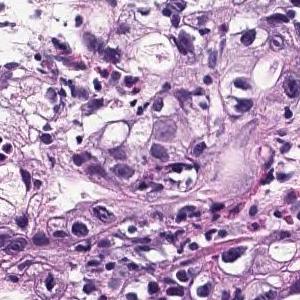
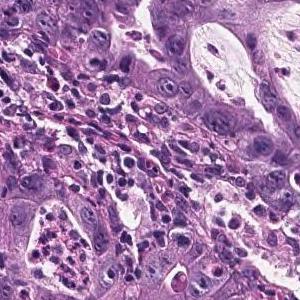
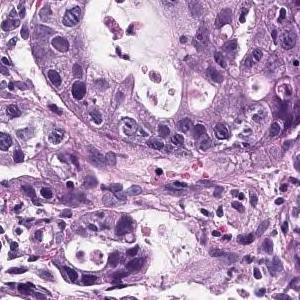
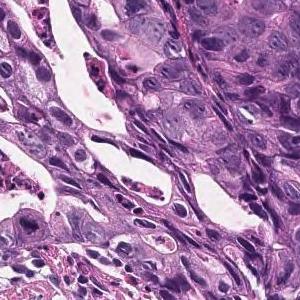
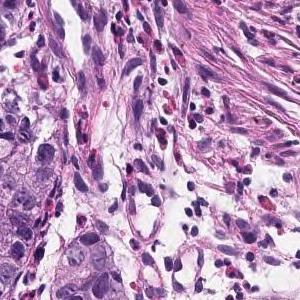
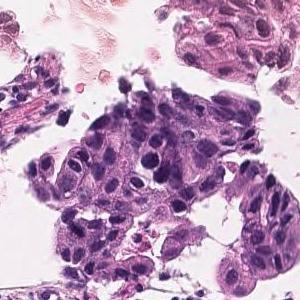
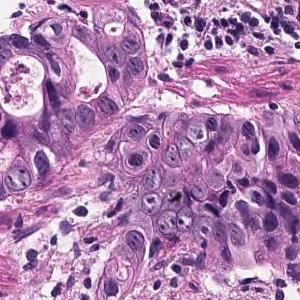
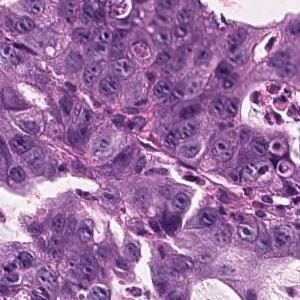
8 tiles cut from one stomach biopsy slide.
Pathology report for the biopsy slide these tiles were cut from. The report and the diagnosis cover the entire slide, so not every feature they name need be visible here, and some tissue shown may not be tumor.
Tumor cells are large, highly columnar, large club-shaped nuclei, and are associated with chromatin aggregation. Papillary adenocarcinoma.
